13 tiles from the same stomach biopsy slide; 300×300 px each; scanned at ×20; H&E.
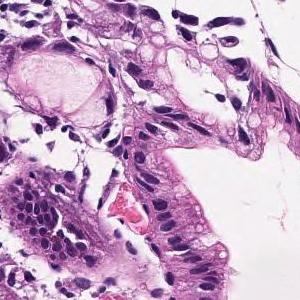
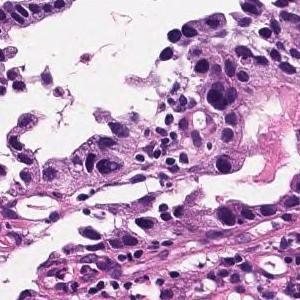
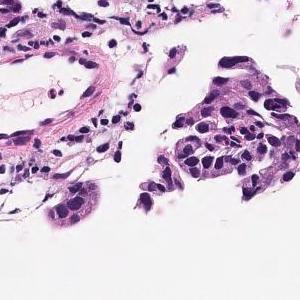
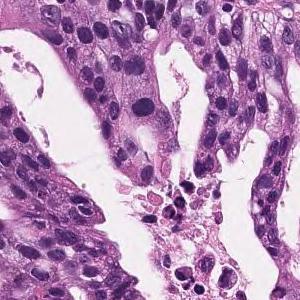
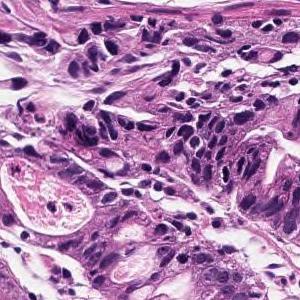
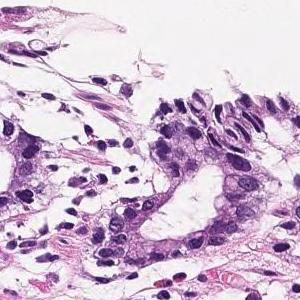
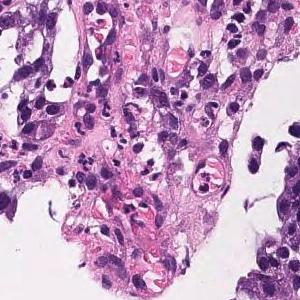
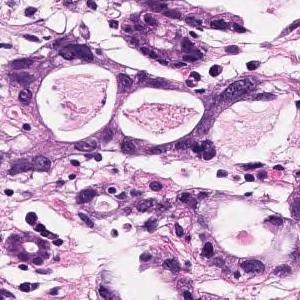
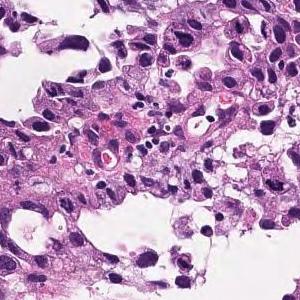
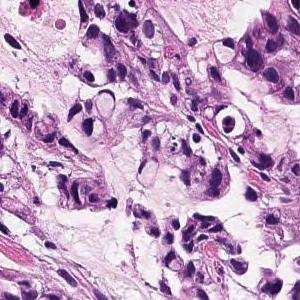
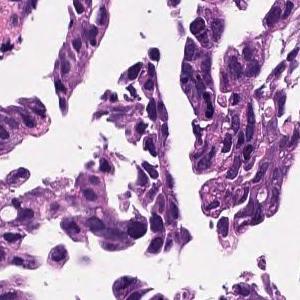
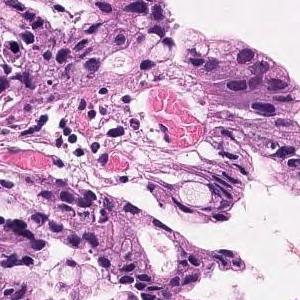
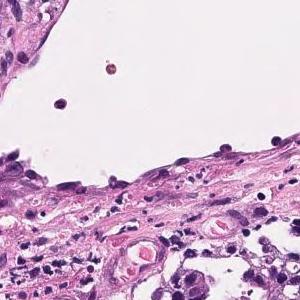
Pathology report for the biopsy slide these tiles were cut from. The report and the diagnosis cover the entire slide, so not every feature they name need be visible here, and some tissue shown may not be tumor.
In the superficial epithelium, tumor tissue that invades by forming medium-sized to small, irregular ducts is observed. Moderately differentiated adenocarcinoma.
Subtype: Moderately differentiated tubular adenocarcinoma.
